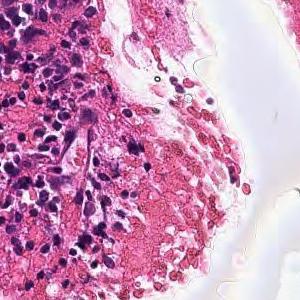
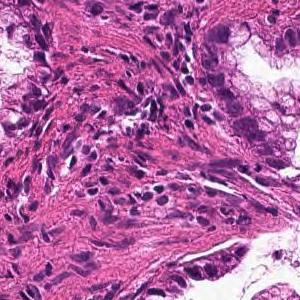
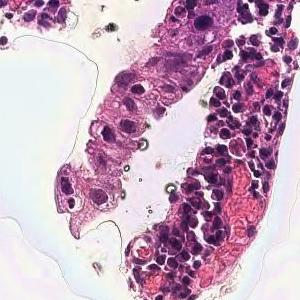
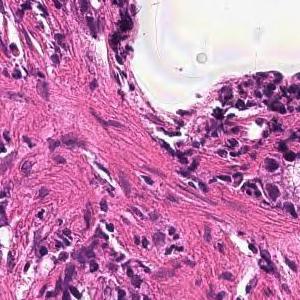
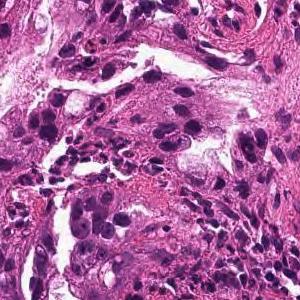
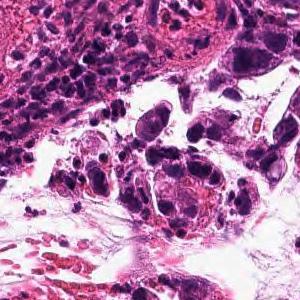
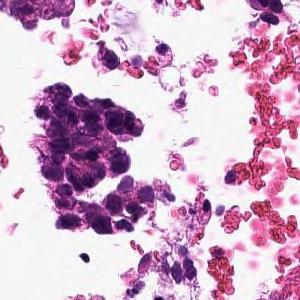
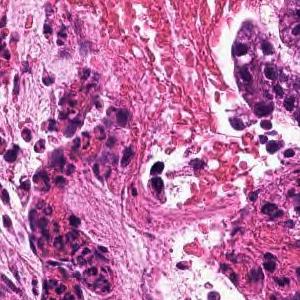
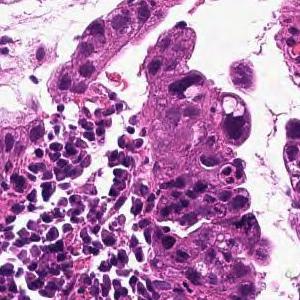
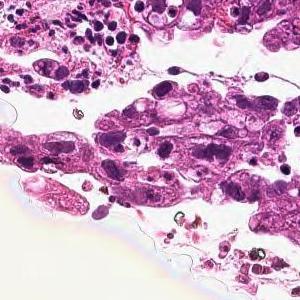
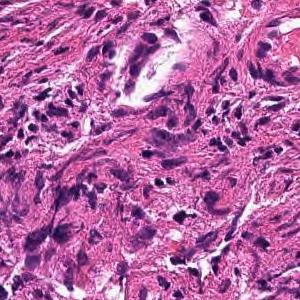
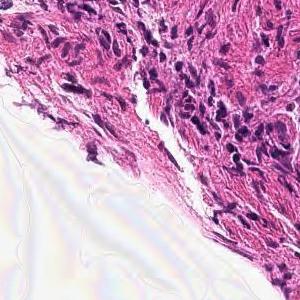
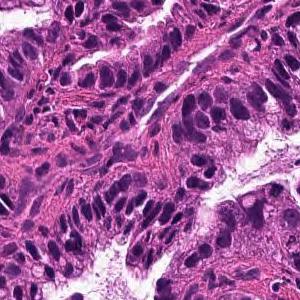
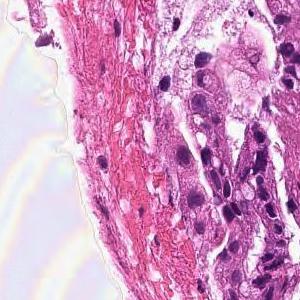
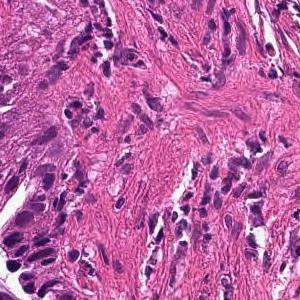
15 patches cut from one gastric biopsy slide · 300 × 300 pixels each · ×20 · H&E.
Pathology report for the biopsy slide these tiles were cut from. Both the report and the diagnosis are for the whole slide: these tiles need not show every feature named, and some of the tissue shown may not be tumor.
From the superficial epithelium to the muscularis mucosae, tumor tissue infiltrating by forming medium-sized irregular gland ducts is observed. Well differentiated tubular adenocarcinoma
